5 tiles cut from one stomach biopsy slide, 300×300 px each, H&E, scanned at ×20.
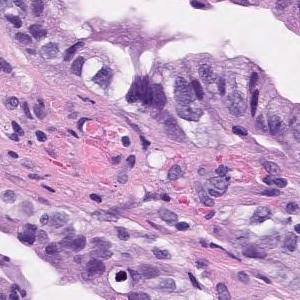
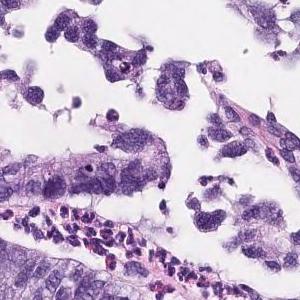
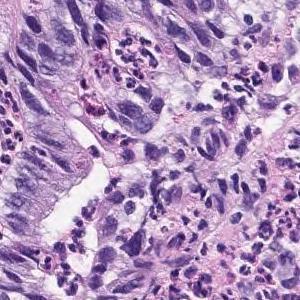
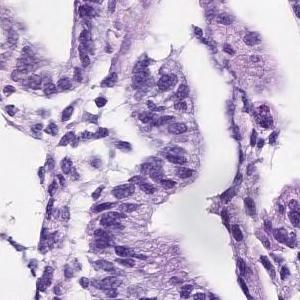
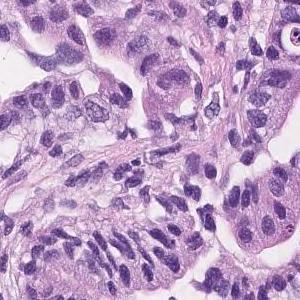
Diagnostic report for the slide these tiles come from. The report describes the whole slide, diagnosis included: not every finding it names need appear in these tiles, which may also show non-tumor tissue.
Tumor cells are large, highly columnar, large club-shaped nuclei, and are associated with chromatin aggregation. Papillary adenocarcinoma.
